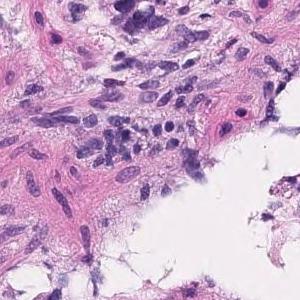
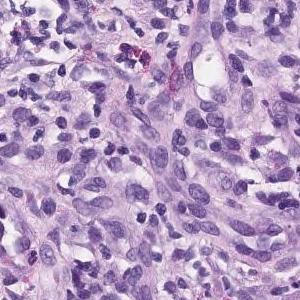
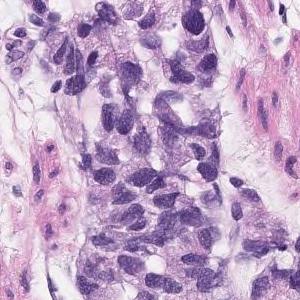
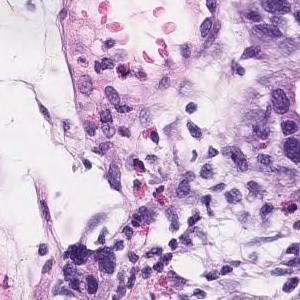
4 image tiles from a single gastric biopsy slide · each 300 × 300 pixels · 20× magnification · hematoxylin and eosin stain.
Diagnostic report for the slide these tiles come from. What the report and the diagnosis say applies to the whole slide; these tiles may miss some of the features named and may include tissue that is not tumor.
Group 5, Adenocarcinoma. Moderately to poorly differentiated adenocarcinoma
